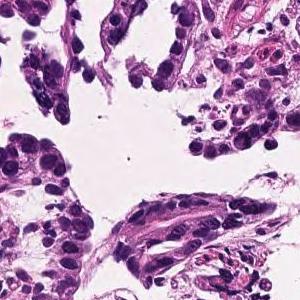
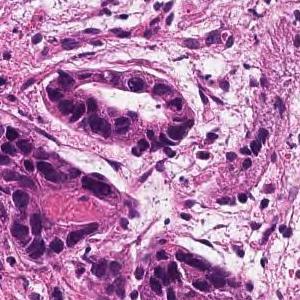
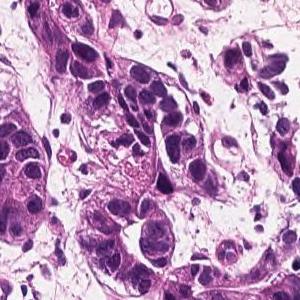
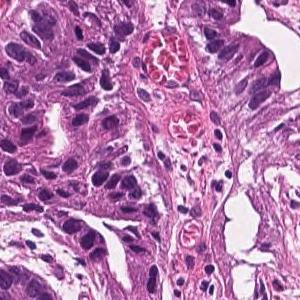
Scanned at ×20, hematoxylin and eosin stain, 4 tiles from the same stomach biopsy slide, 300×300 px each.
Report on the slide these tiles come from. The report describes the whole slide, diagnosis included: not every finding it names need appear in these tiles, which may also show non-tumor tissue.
In the superficial epithelium, tumor tissue that invades by forming medium-sized to small, irregular ducts is observed. Well differentiated tubular adenocarcinoma.
